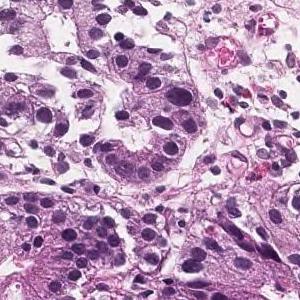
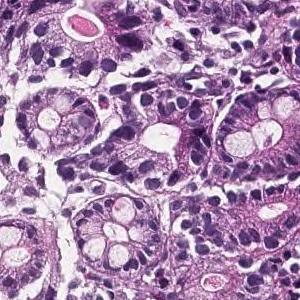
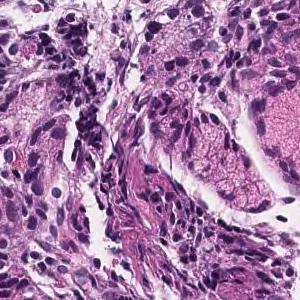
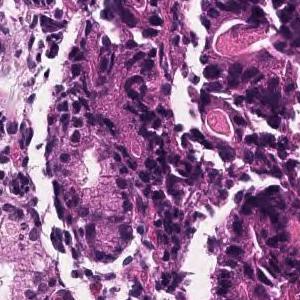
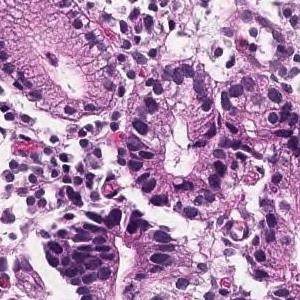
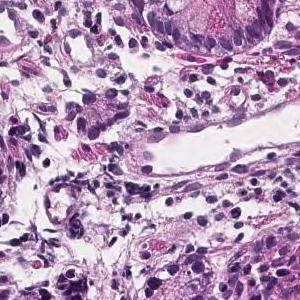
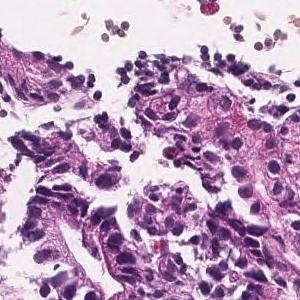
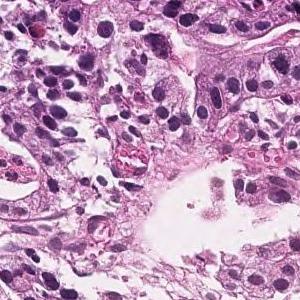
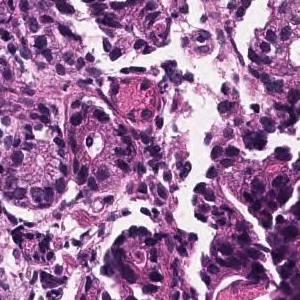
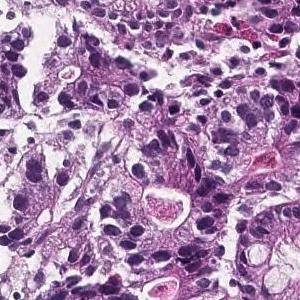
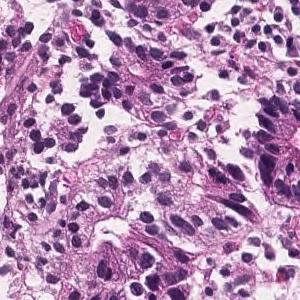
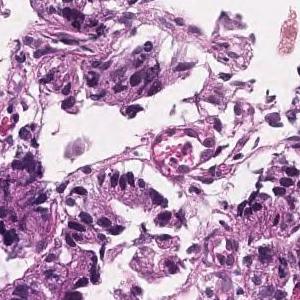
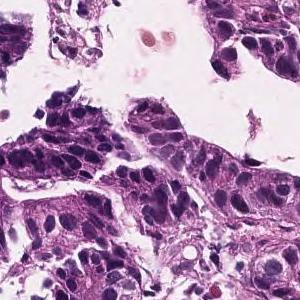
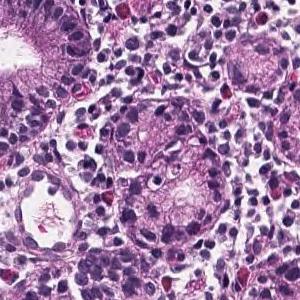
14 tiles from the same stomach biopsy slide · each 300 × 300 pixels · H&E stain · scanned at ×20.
The pathologist's report on the biopsy slide these tiles were taken from. What the report and the diagnosis say applies to the whole slide; these tiles may miss some of the features named and may include tissue that is not tumor.
Tumor tissue that forms medium-sized, irregular glandular ducts and is papillary and proliferate is observed confined to the mucosal epithelium. moderately differentiated tubular adenocarcinoma.
